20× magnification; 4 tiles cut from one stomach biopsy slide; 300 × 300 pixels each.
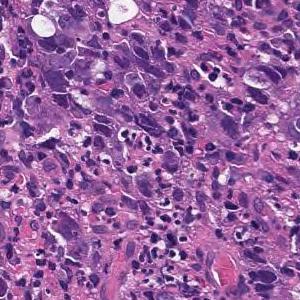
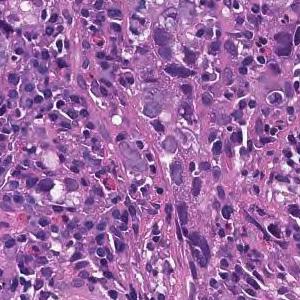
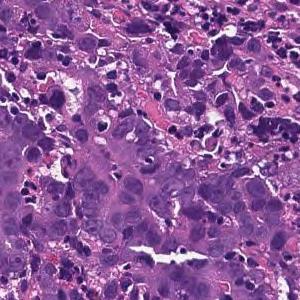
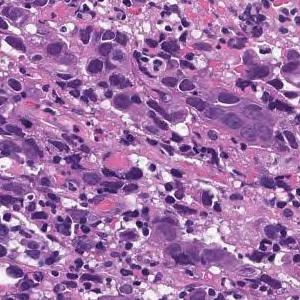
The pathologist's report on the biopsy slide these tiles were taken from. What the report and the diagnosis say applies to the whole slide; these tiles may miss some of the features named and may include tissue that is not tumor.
Tumor tissue consisting of cord-like or small, irregular glandular ducts fused and infiltrated is observed in the superficial epithelium. Poorly differentiated adenocarcinoma, non-solid type
The term "non-solid type" comes from the Japanese Classification of Gastric Carcinoma.
